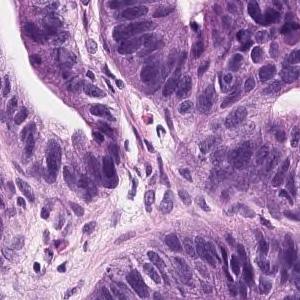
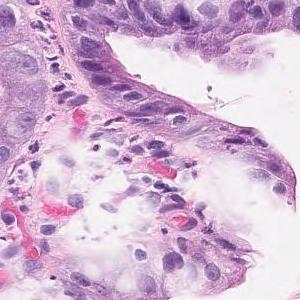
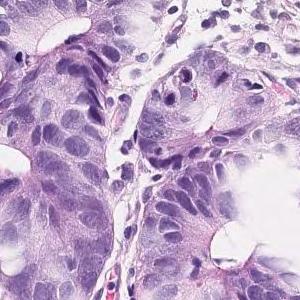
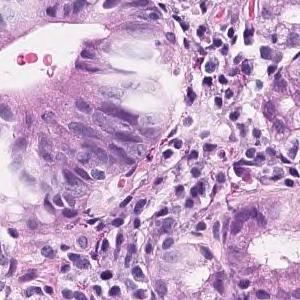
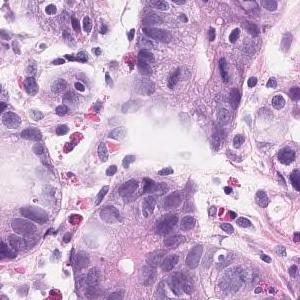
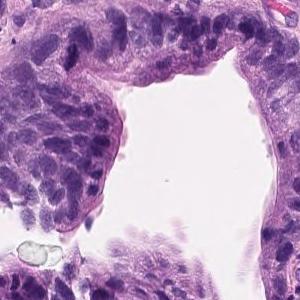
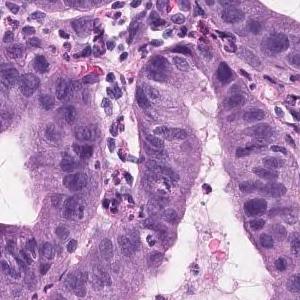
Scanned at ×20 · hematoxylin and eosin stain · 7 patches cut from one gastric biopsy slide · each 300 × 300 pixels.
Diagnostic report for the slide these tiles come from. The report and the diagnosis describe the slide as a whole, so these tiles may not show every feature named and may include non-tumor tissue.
On the superficial epithelium, tumor tissue consisting of medium-sized to large-sized, round or irregular glandular duct growth images is observed. Well differentiated adenocarcinoma.
Histologic type: Well differentiated tubular adenocarcinoma.
